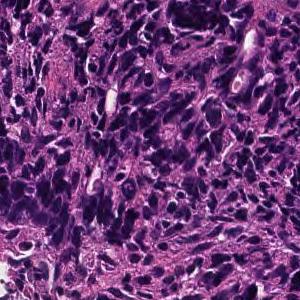
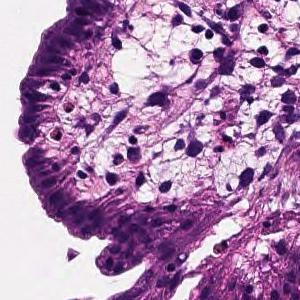
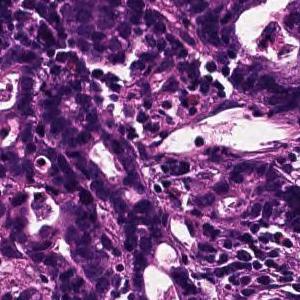
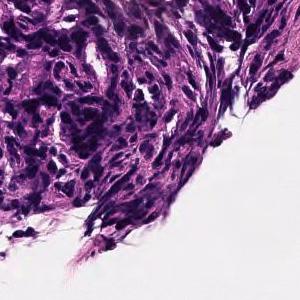
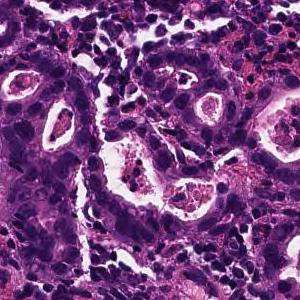
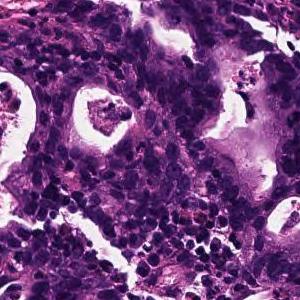
H&E, 20× magnification, 6 tiles cut from one stomach biopsy slide.
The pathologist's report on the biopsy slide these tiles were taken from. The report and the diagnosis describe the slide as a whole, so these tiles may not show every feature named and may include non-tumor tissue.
On the superficial epithelium, tumor tissue is found in which medium-sized irregular gland ducts fuse with each other and infiltrate. moderately differentiated tubular adenocarcinoma or Poorly differentiated adenocarcinoma, non-solid type
Tumor subtype: moderately to poorly differentiated adenocarcinoma.
The non-solid type named here is a Japanese Classification of Gastric Carcinoma category.
